14 tiles cut from one stomach biopsy slide.
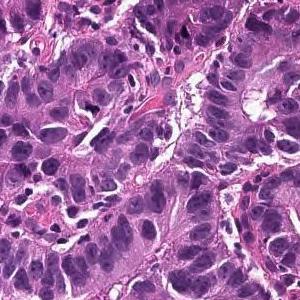
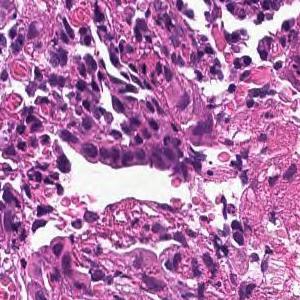
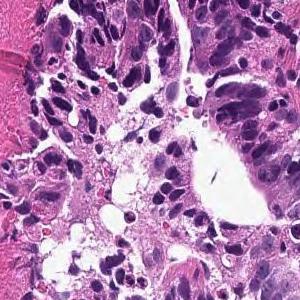
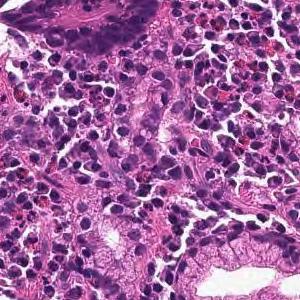
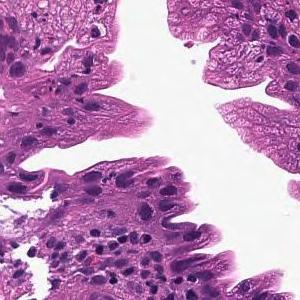
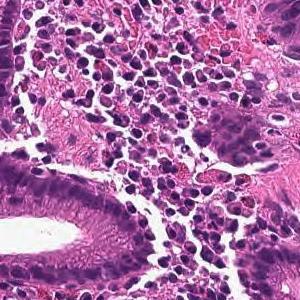
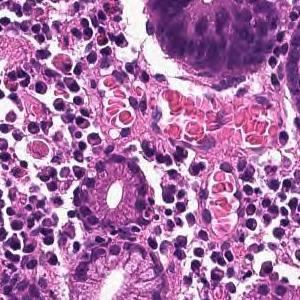
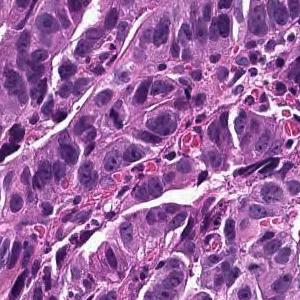
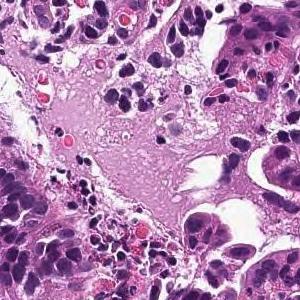
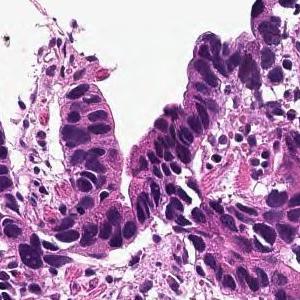
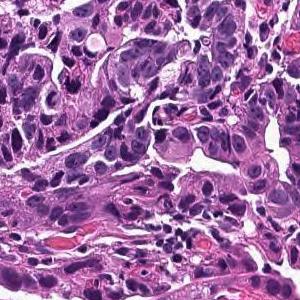
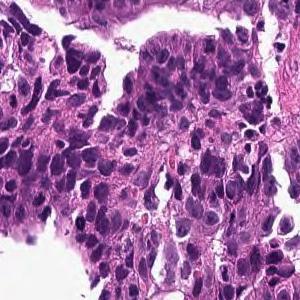
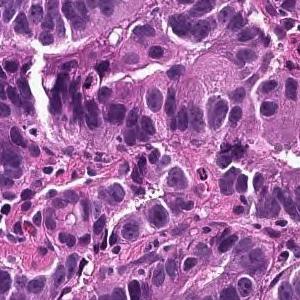
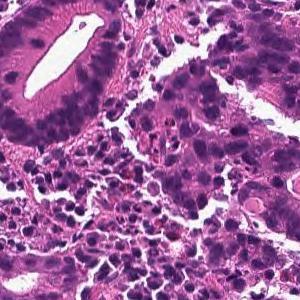
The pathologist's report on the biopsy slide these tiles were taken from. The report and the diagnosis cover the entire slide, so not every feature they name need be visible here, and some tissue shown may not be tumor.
On the superficial epithelium, tumor tissue consisting of large, irregular glandular ducts partially fused and infiltrated is observed. Well to moderately differentiated tubular adenocarcinoma (well differentiated tubular adenocarcinoma, moderately differentiated tubular adenocarcinoma)
Histologic type: Well to moderately differentiated tubular adenocarcinoma.
